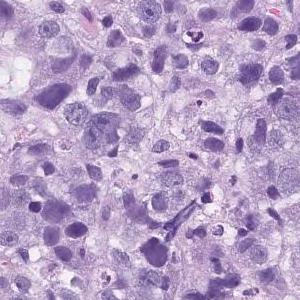
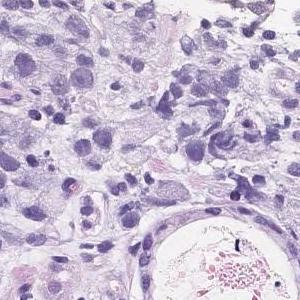
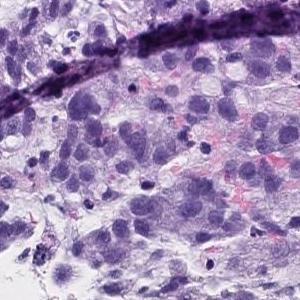
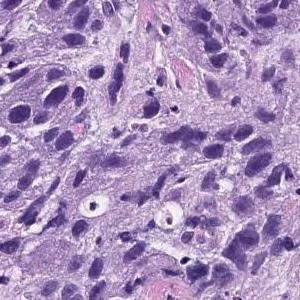
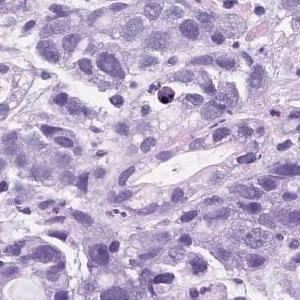
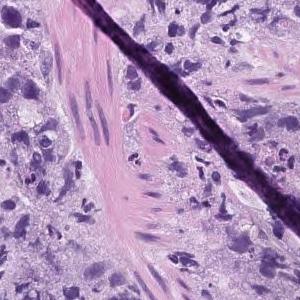
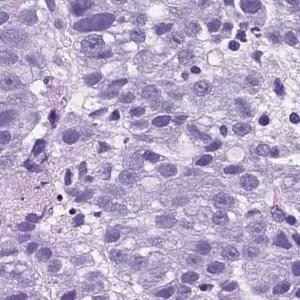
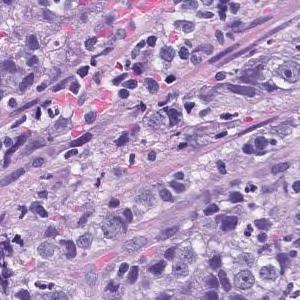
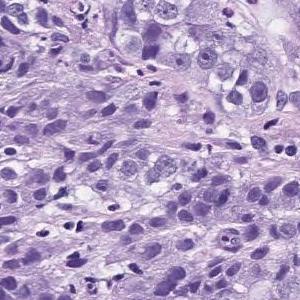
9 image tiles from a single gastric biopsy slide; H&E.
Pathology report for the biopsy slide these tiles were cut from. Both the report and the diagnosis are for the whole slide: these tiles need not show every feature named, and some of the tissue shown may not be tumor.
Atypical l cells with atypical nuclei forming solid vesicles or small irregular atypical ducts that proliferate in a complex manner. poorly differentiated adenocarcinoma, solid type, moderately differentiated tubular adenocarcinoma
The term "solid type" comes from the Japanese Classification of Gastric Carcinoma; the WHO 2019 equivalent is tubular adenocarcinoma, poorly differentiated.
